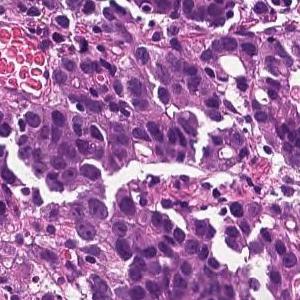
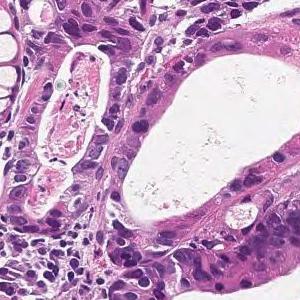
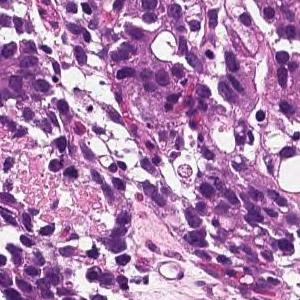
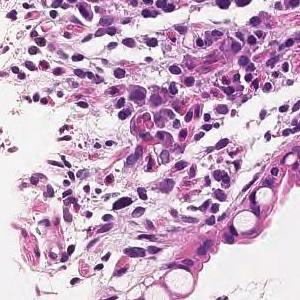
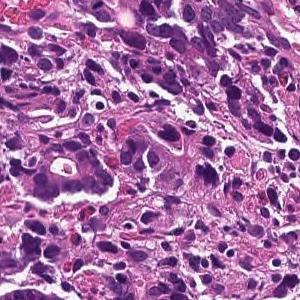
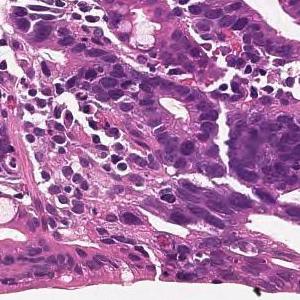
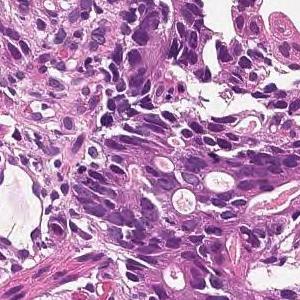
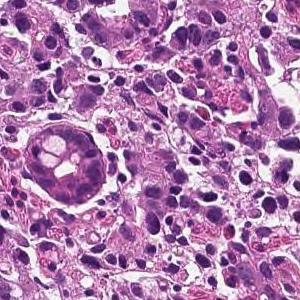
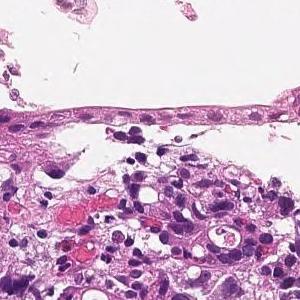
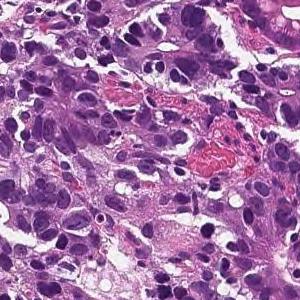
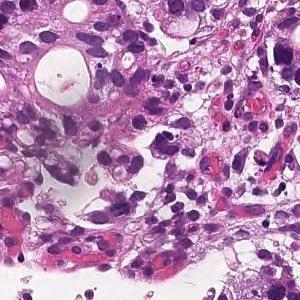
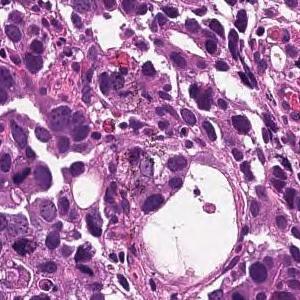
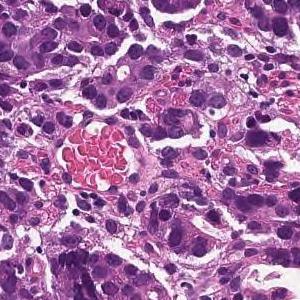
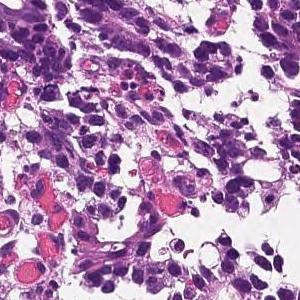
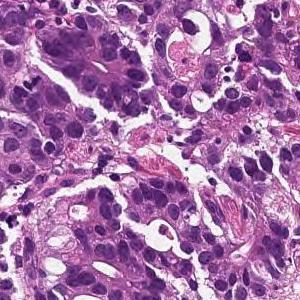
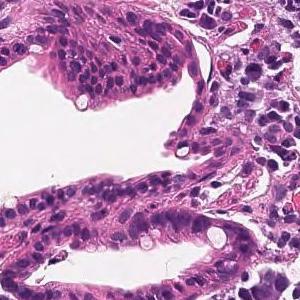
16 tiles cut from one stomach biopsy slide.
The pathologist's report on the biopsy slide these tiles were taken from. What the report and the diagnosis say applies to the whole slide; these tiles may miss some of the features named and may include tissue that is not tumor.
On the superficial epithelium, tumor tissue is found in which medium-sized irregular gland ducts fuse with each other and infiltrate. moderately differentiated tubular adenocarcinoma
